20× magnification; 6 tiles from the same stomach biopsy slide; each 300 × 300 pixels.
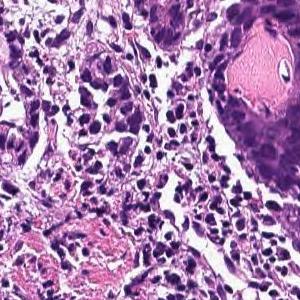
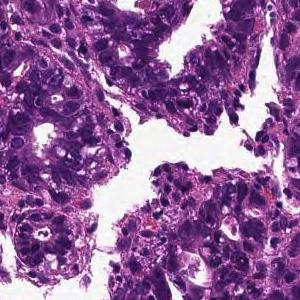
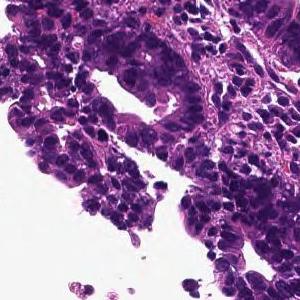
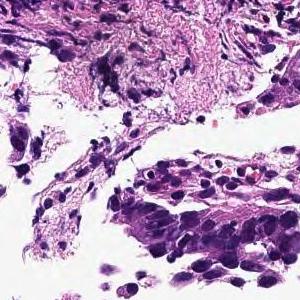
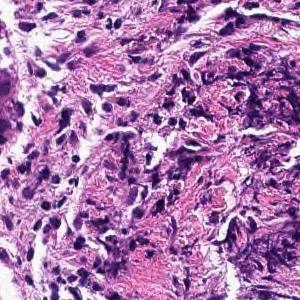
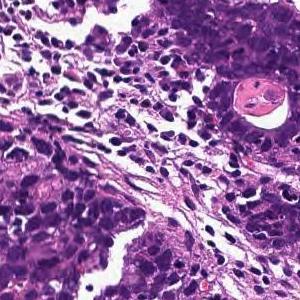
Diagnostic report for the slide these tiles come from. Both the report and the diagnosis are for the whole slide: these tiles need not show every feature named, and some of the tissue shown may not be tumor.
In the superficial epithelium, tumor tissue that invades by forming medium-sized to small, irregular ducts is observed. moderately differentiated tubular adenocarcinoma.
